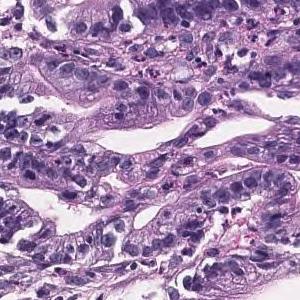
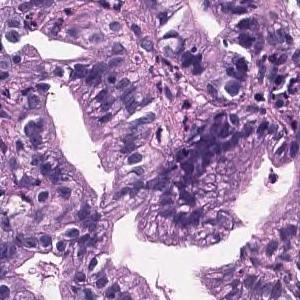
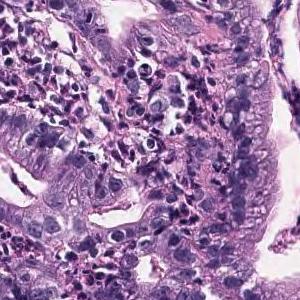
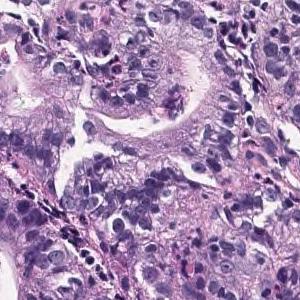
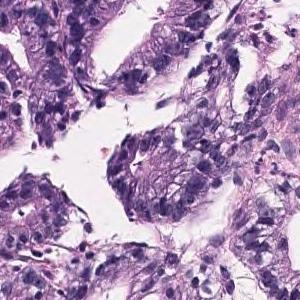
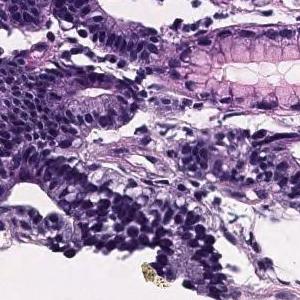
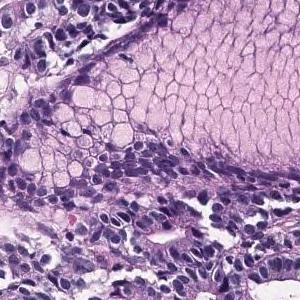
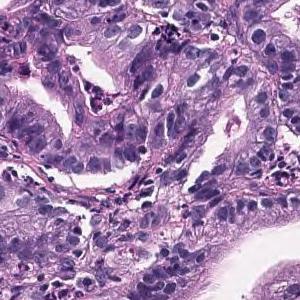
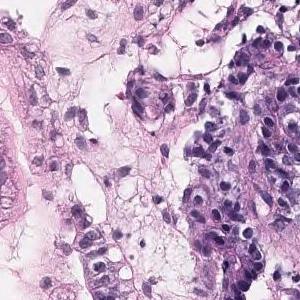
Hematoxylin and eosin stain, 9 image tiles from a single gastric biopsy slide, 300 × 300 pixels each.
Pathology report for the slide these tiles were cut from. The findings and the diagnosis refer to the entire slide; these tiles show only part of it, possibly with non-tumor tissue, and may not show every feature named.
Tumor tissue in which highly columnar atypical epithelial cells with nuclear enlargement and increased nuclear chromatin show papillary to papillary ductal structure and proliferate is observed. Papillary adenocarcinoma.
